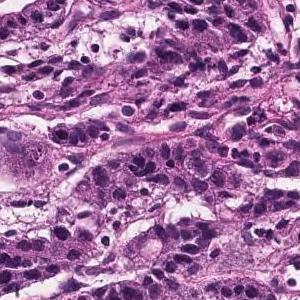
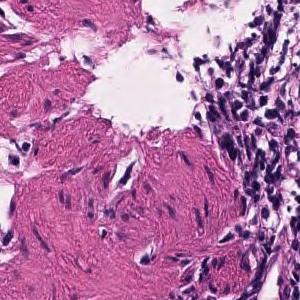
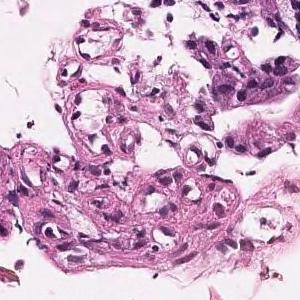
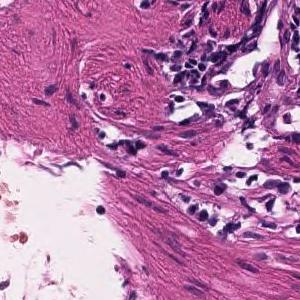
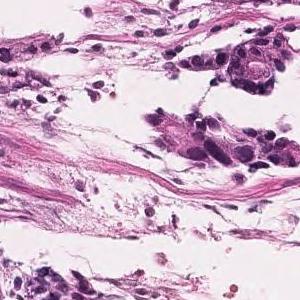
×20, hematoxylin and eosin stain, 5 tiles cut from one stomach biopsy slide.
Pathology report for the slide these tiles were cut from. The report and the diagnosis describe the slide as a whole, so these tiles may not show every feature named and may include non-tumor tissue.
Tumor tissue with atypical epithelium showing irregular ductal or sieving ductal structure and proliferating is observed. Well to moderately differentiated tubular adenocarcinoma (well differentiated tubular adenocarcinoma-moderately differentiated tubular adenocarcinoma)
Histologic type: Well to moderately differentiated tubular adenocarcinoma.
